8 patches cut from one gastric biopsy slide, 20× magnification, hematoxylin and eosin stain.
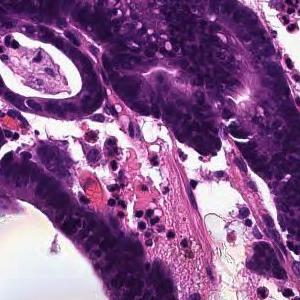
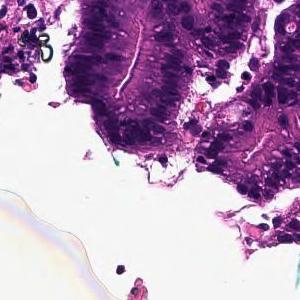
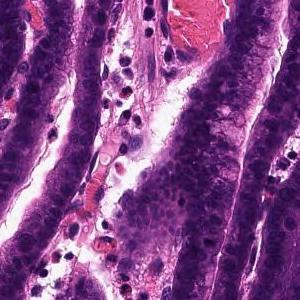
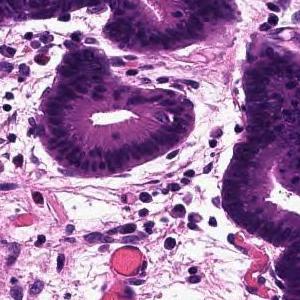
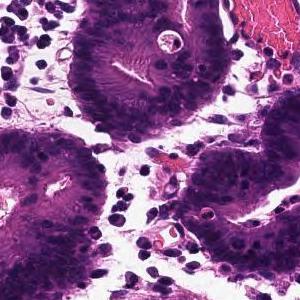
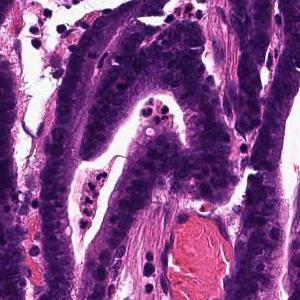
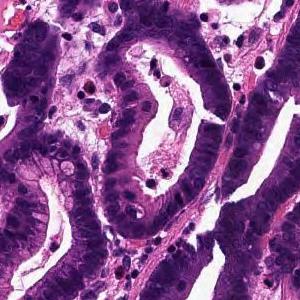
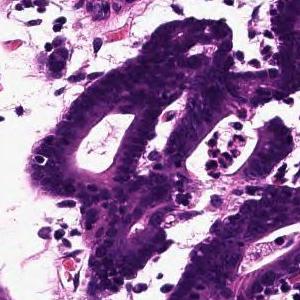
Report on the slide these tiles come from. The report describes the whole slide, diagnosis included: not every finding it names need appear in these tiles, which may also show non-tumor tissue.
Tumor tissue that infiltrates by forming large papillary or large irregular glandular ducts is observed confined to the mucosa. Papillary adenocarcinoma
